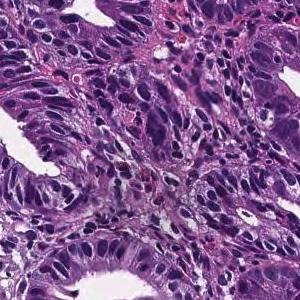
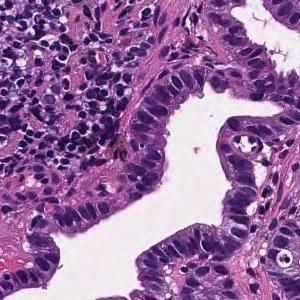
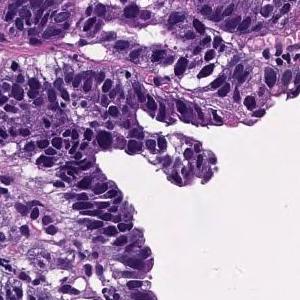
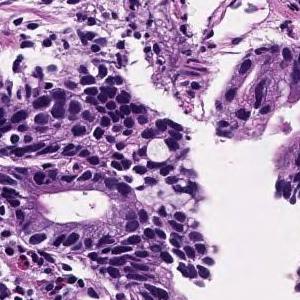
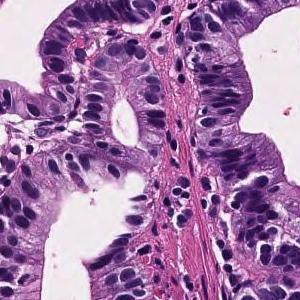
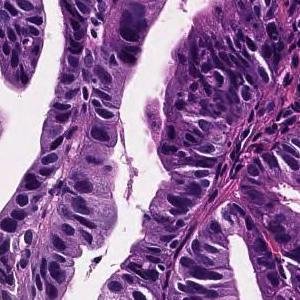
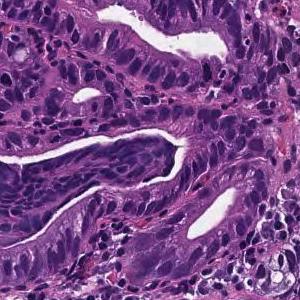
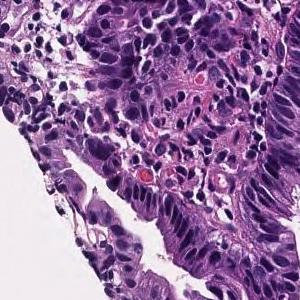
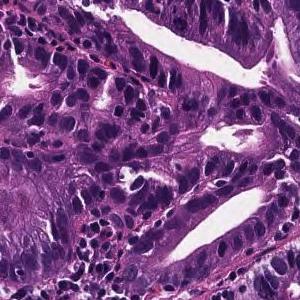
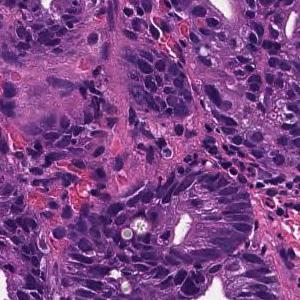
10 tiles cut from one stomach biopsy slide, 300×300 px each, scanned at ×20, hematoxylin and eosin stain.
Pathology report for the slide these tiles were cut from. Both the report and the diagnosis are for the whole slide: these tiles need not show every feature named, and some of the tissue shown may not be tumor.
In the superficial epithelium, tumor tissue that invades by forming medium-sized to small, irregular ducts is observed. Well differentiated tubular adenocarcinoma.
